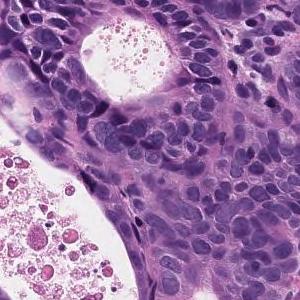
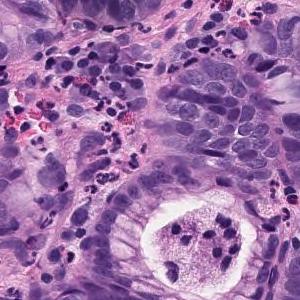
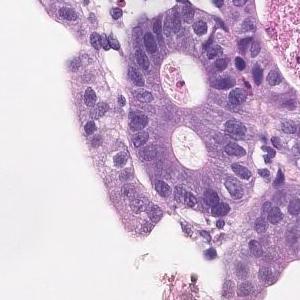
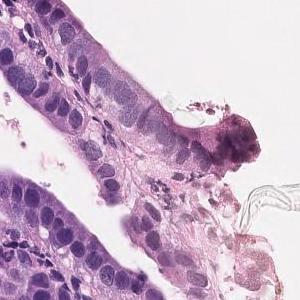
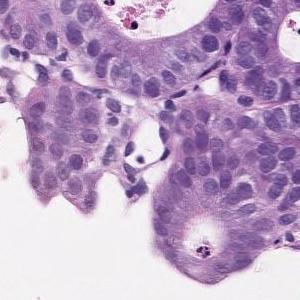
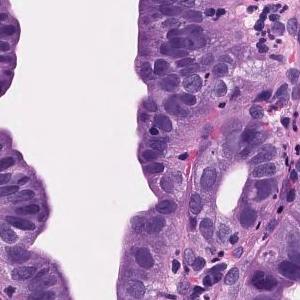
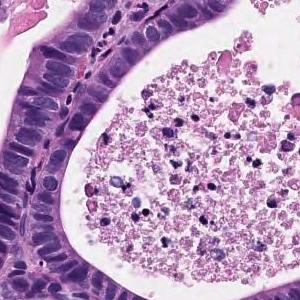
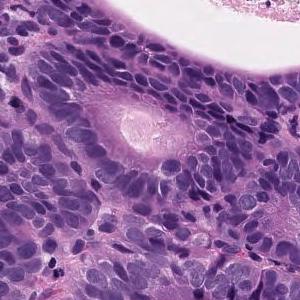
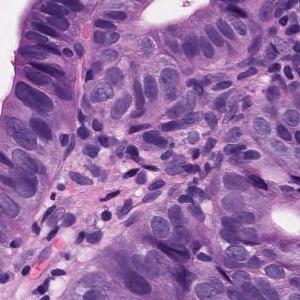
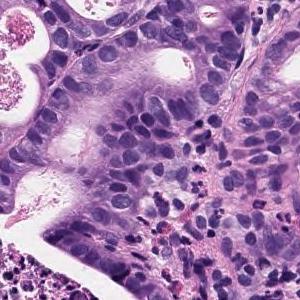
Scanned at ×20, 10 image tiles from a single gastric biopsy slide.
The pathologist's report on the biopsy slide these tiles were taken from. The report and the diagnosis describe the slide as a whole, so these tiles may not show every feature named and may include non-tumor tissue.
Tumor tissue consisting of proliferative medium to large, round or irregular glandular ducts in the superficial epithelium. Well differentiated adenocarcinoma.
Classified as well differentiated tubular adenocarcinoma.
